9 patches cut from one gastric biopsy slide, each 300 × 300 pixels, H&E stain.
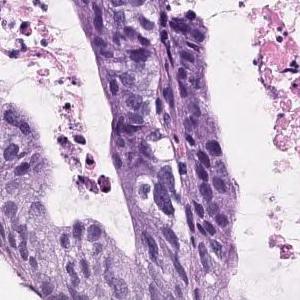
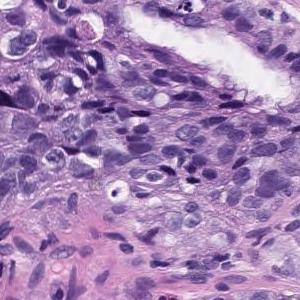
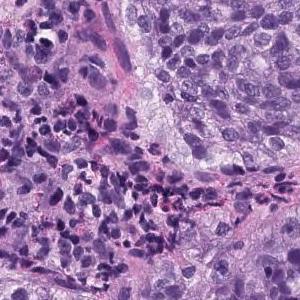
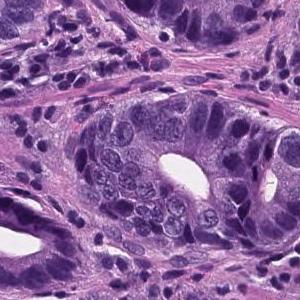
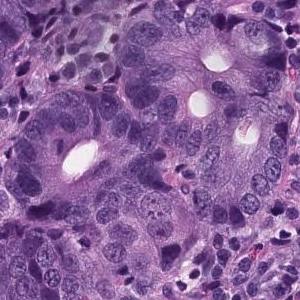
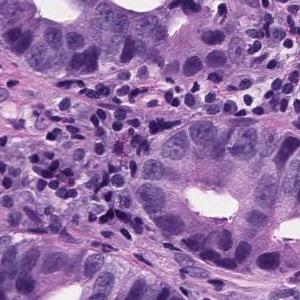
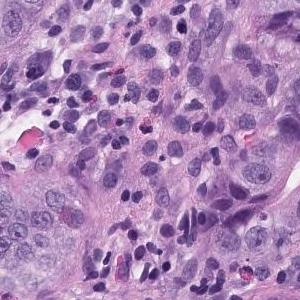
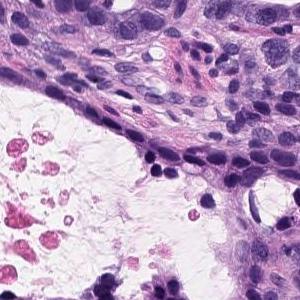
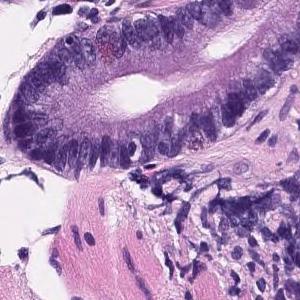
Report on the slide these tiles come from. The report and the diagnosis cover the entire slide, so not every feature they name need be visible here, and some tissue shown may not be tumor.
Tumor tissue consisting of medium-sized and irregular ducts is observed infiltrating in the superficial epithelium. Tumor cells are highly columnar, with nuclei aligned basolaterally and polarized. Well differentiated tubular adenocarcinoma.
